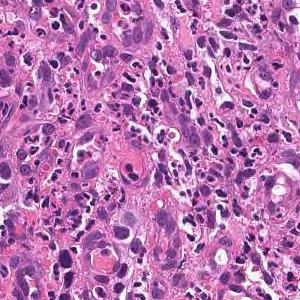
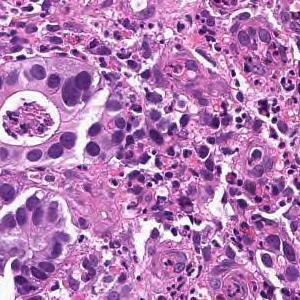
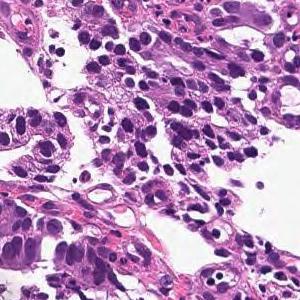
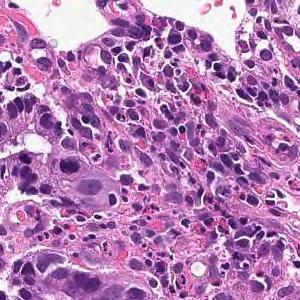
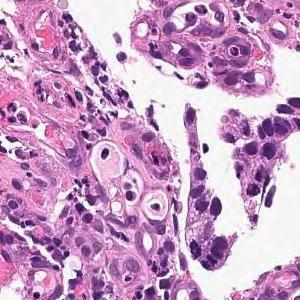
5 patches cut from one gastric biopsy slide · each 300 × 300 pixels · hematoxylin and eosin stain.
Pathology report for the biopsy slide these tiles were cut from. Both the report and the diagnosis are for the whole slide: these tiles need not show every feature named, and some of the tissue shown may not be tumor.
On the superficial epithelium, tumor tissue consisting of large irregular glandular ducts partially fused and infiltrated is observed. Well to moderately differentiated tubular adenocarcinoma (well differentiated tubular adenocarcinoma, moderately differentiated tubular adenocarcinoma)
Histologic type: Well to moderately differentiated tubular adenocarcinoma.
